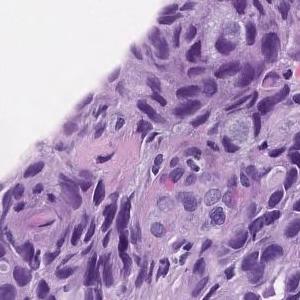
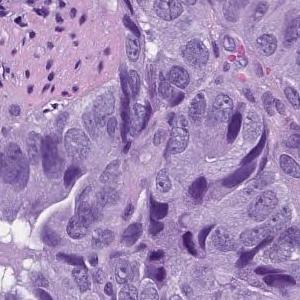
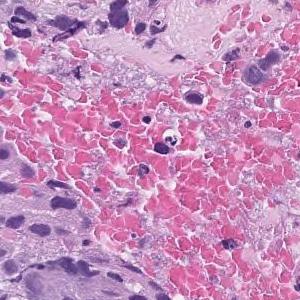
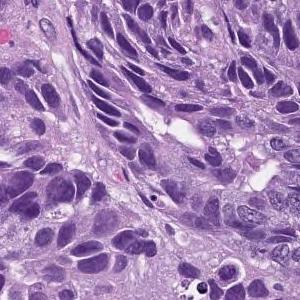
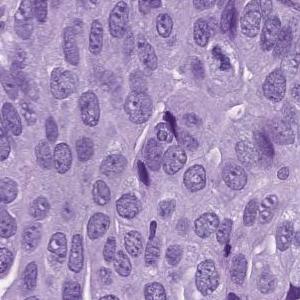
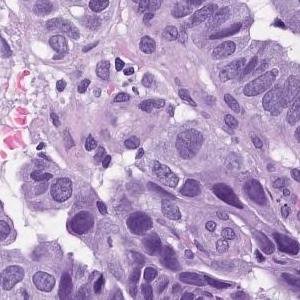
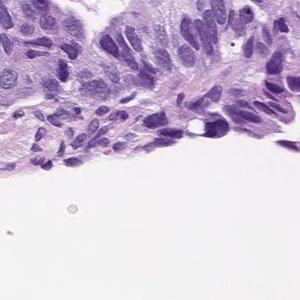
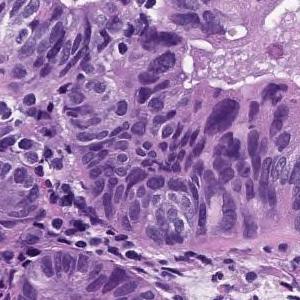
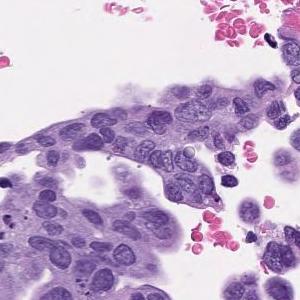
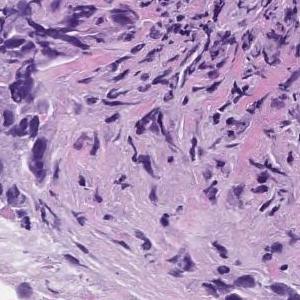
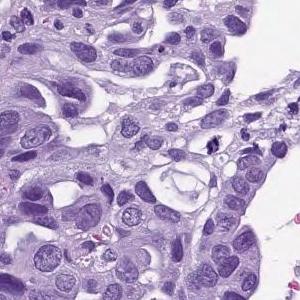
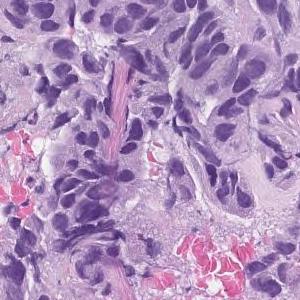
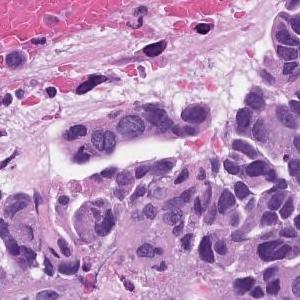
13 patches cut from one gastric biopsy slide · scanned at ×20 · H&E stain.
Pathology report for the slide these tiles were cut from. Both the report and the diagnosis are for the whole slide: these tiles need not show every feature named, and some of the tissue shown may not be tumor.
In the superficial epithelium, tumor tissue that invades by forming medium-sized to small, irregular ducts is observed. moderately differentiated tubular adenocarcinoma.
